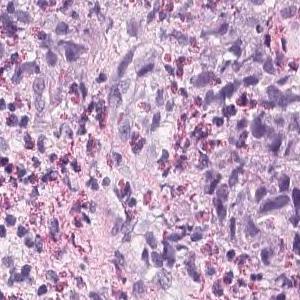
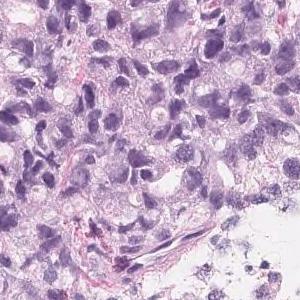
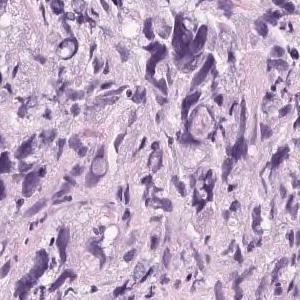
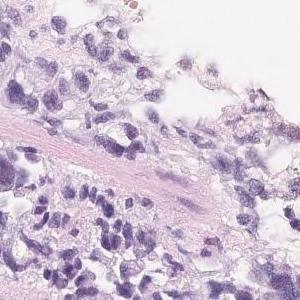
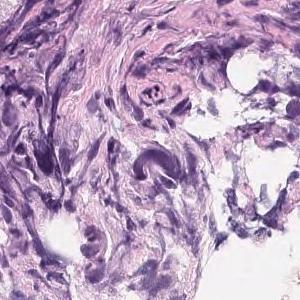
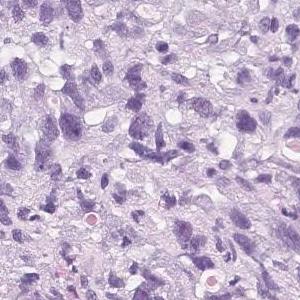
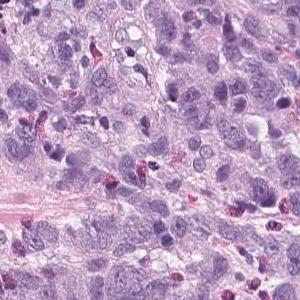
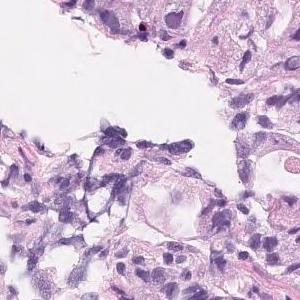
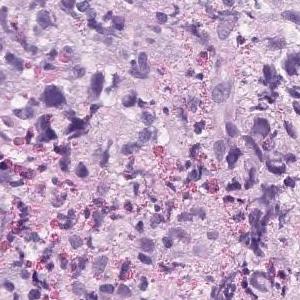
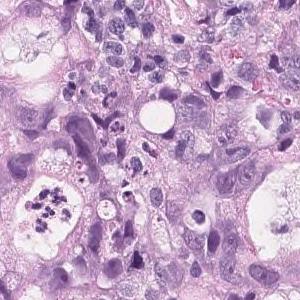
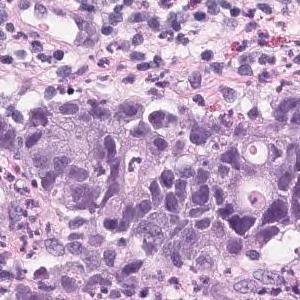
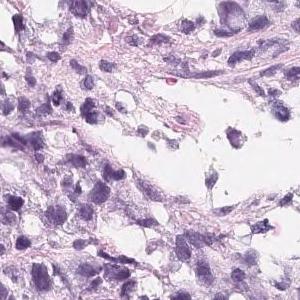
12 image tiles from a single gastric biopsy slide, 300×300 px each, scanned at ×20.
The pathologist's report on the biopsy slide these tiles were taken from. The report and the diagnosis cover the entire slide, so not every feature they name need be visible here, and some tissue shown may not be tumor.
Tumor tissue that infiltrates and proliferates by forming small glandular cavities in the superficial layer to the submucosa or forming a mass is observed. moderately differentiated tubular adenocarcinoma
